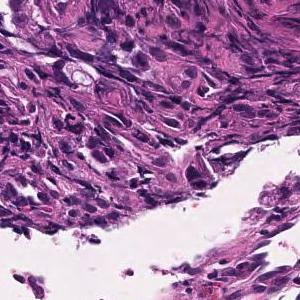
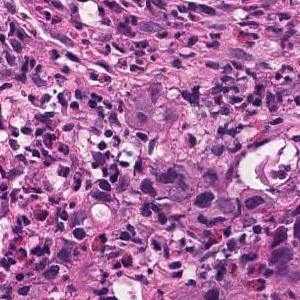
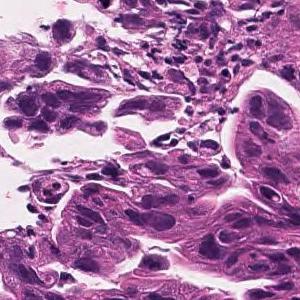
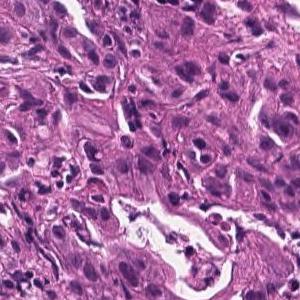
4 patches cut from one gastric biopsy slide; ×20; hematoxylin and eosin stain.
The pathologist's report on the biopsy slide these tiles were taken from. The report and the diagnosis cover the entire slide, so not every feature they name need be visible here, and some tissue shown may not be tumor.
Tumor tissue consisting of medium-sized, cord-like or irregular glandular infiltration is observed in the superficial epithelium. Poorly differentiated adenocarcinoma, non-solid type or moderately differentiated tubular adenocarcinoma
The non-solid type named here is a Japanese Classification of Gastric Carcinoma category.
